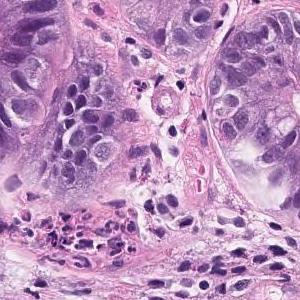
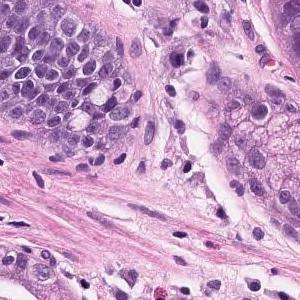
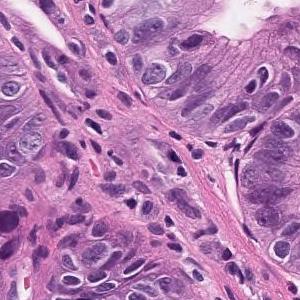
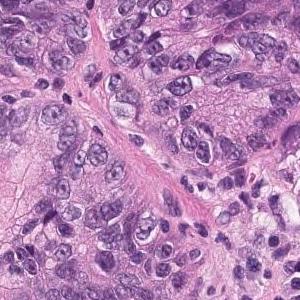
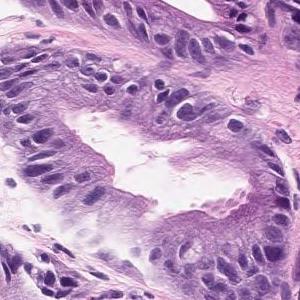
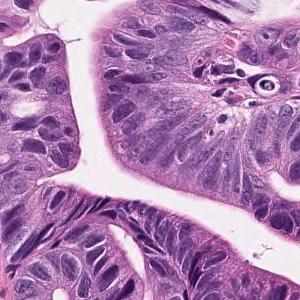
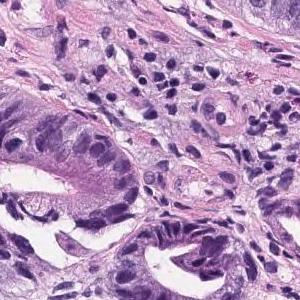
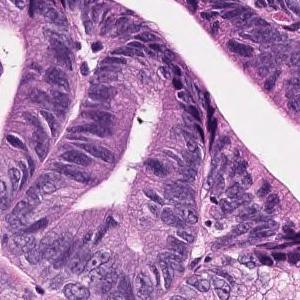
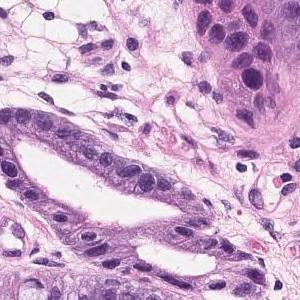
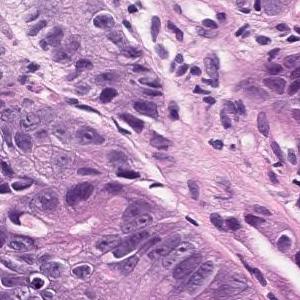
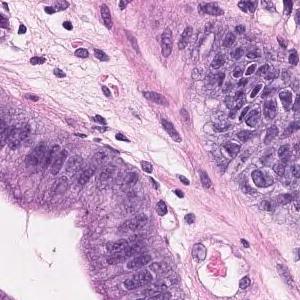
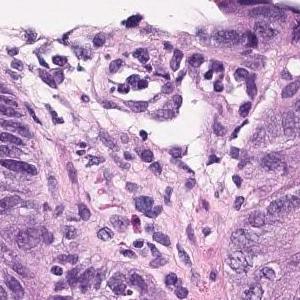
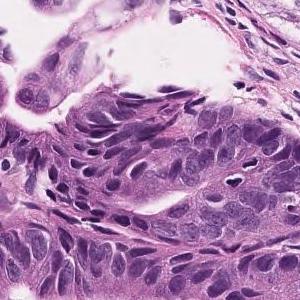
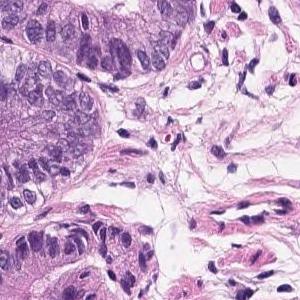
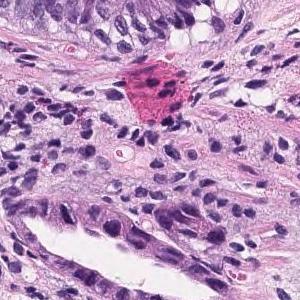
15 patches cut from one gastric biopsy slide; each 300 × 300 pixels; H&E; ×20.
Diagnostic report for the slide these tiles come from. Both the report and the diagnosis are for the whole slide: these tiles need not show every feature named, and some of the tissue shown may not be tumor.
Atypical ducts that branch intricately are observed. Well differentiated tubular adenocarcinoma
